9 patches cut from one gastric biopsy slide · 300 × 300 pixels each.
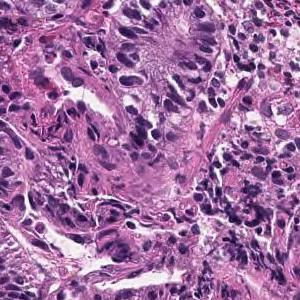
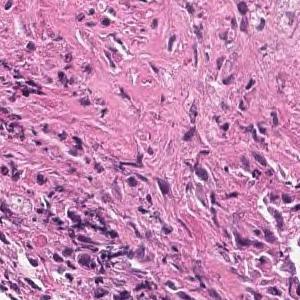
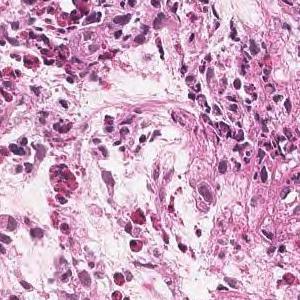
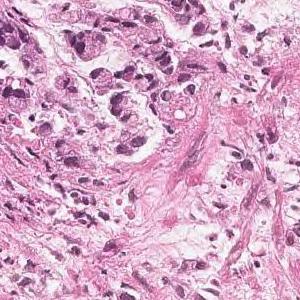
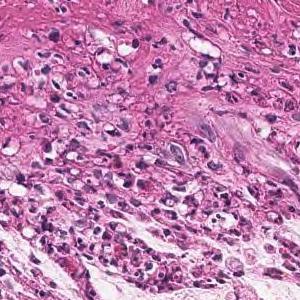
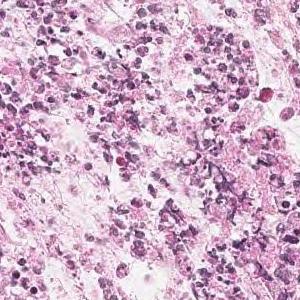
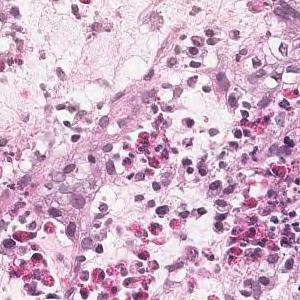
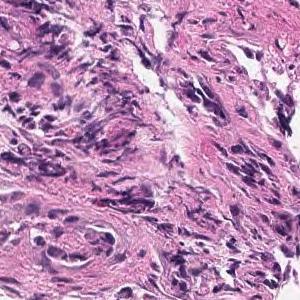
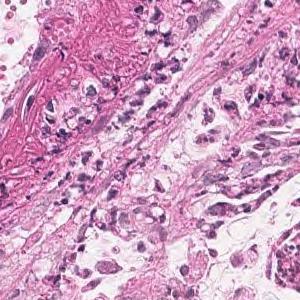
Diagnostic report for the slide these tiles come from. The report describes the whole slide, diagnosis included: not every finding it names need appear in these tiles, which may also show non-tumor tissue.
Tumor tissue is observed in which atypical epithelial cells with mucus in the vesicles proliferate while being isolated. Signet ring cell carcinoma
